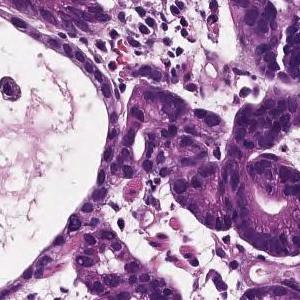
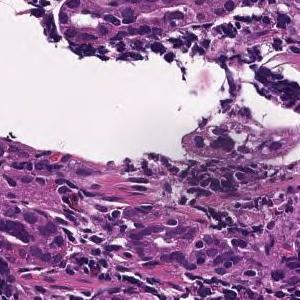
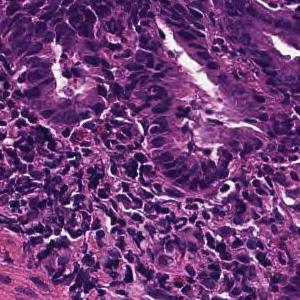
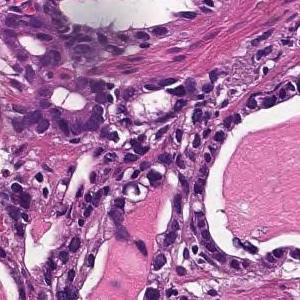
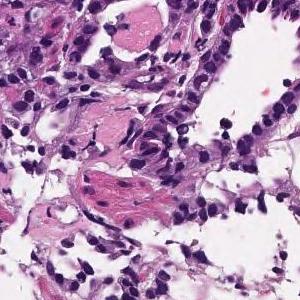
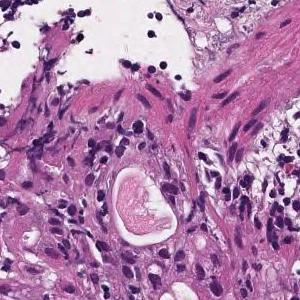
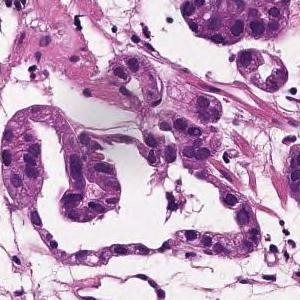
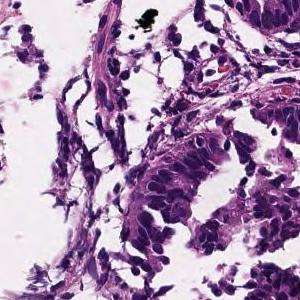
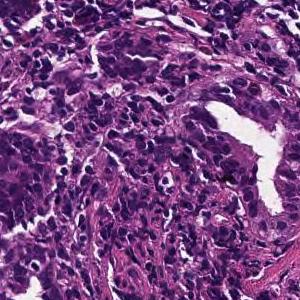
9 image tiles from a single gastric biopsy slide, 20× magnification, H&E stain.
Diagnostic report for the slide these tiles come from. The report and the diagnosis describe the slide as a whole, so these tiles may not show every feature named and may include non-tumor tissue.
Tumor tissue consisting of medium-sized, cord-like or irregular glandular infiltration is observed in the superficial epithelium. Poorly differentiated adenocarcinoma, non-solid type or moderately differentiated tubular adenocarcinoma
Histologic type: Moderately to poorly differentiated adenocarcinoma.
The non-solid type named here is a Japanese Classification of Gastric Carcinoma category.
